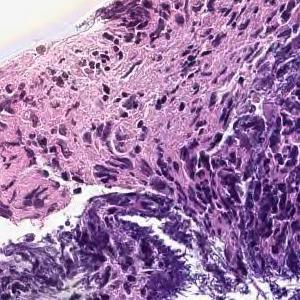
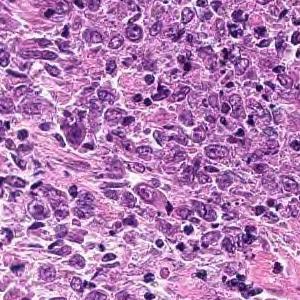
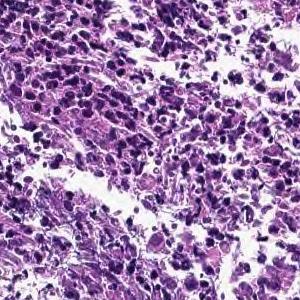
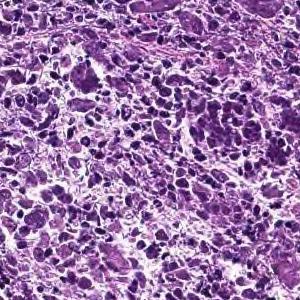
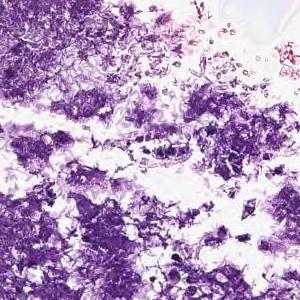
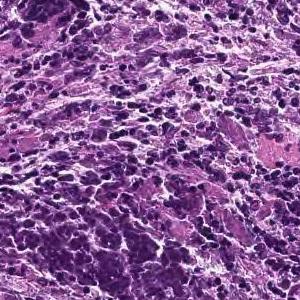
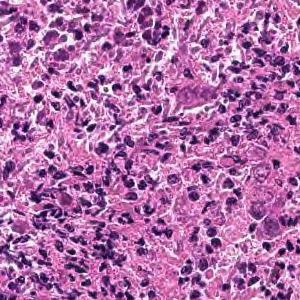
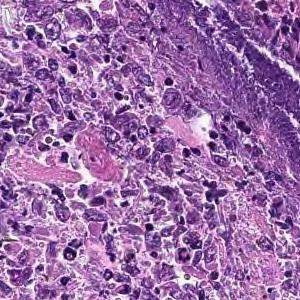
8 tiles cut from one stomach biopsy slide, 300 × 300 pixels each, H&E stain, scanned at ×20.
The pathologist's report on the biopsy slide these tiles were taken from. The report and the diagnosis describe the slide as a whole, so these tiles may not show every feature named and may include non-tumor tissue.
Cancers with polygonal nuclei do not show glandular formation and are densely, in part, cord-like and proliferate. Poorly differentiated adenocarcinoma
Histological subtype: Poorly differentiated adenocarcinoma, non-solid type.
The term "non-solid type" comes from the Japanese Classification of Gastric Carcinoma.
